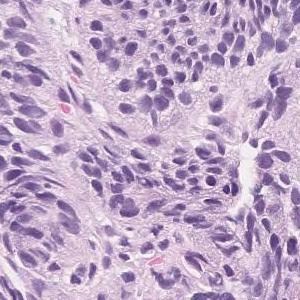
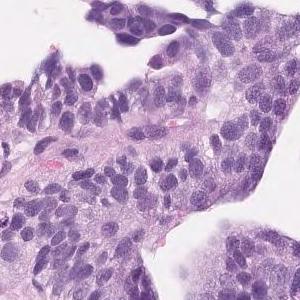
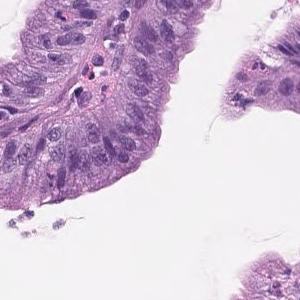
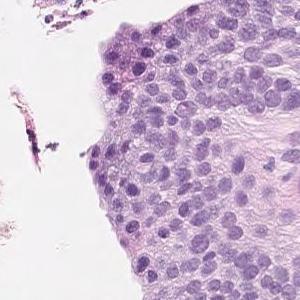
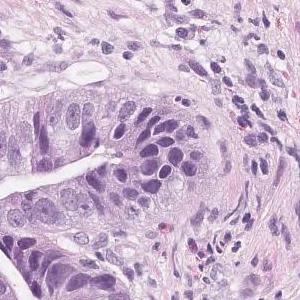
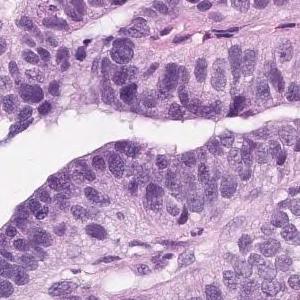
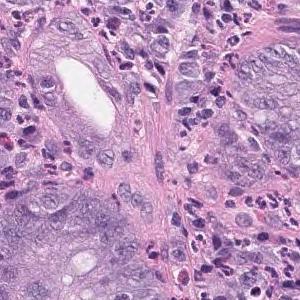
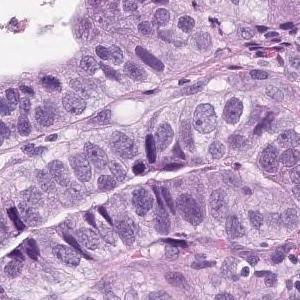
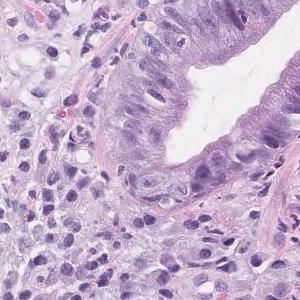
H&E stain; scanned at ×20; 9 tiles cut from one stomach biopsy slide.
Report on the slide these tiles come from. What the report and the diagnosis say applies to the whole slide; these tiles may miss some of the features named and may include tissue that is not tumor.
Tumor tissue in which highly columnar atypical epithelial cells with nuclear enlargement and increased nuclear chromatin show papillary to papillary ductal structure and proliferate is observed. Papillary adenocarcinoma.
